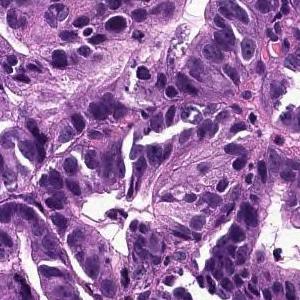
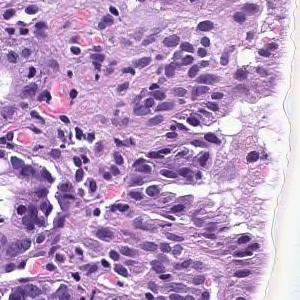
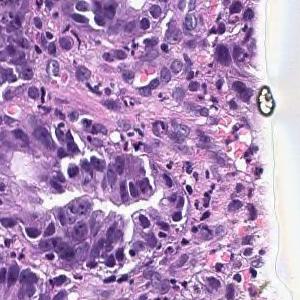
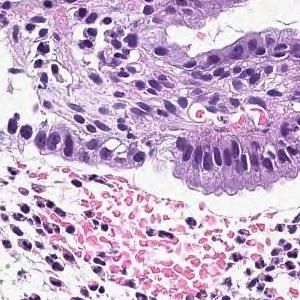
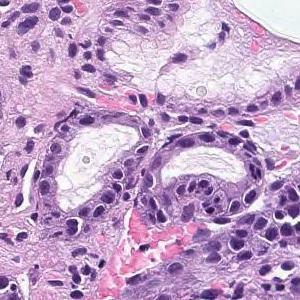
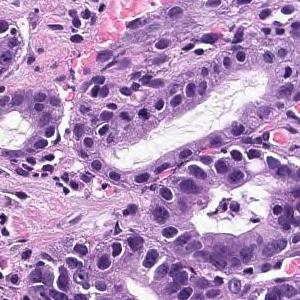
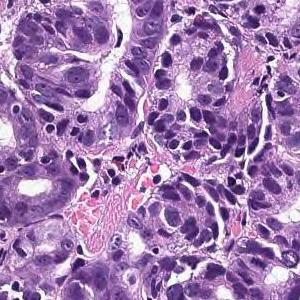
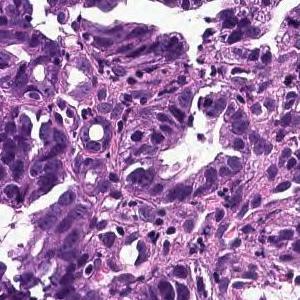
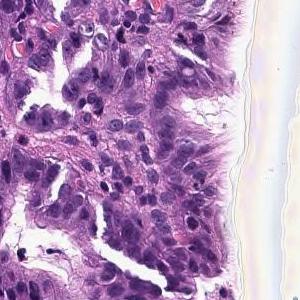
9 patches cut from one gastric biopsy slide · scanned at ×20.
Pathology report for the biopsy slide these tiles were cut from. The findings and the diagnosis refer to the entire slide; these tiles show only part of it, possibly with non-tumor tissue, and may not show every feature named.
On the superficial epithelium, tumor tissue that infiltrates by forming medium-sized papillary or small irregular ducts is observed. Papillary adenocarcinoma
